Hematoxylin and eosin stain; ×20; 16 tiles from the same stomach biopsy slide.
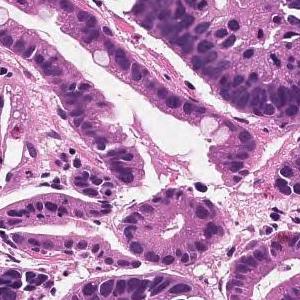
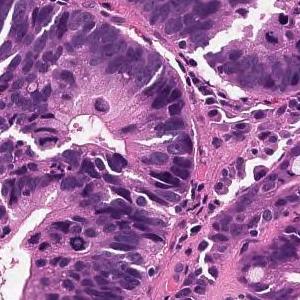
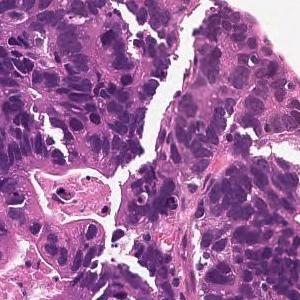
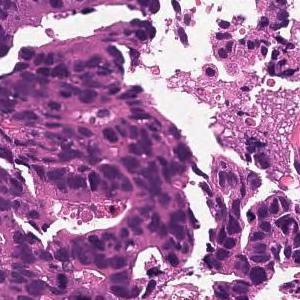
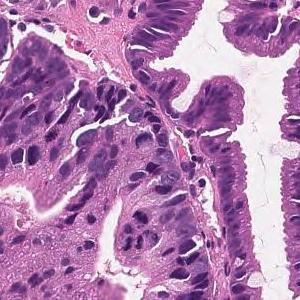
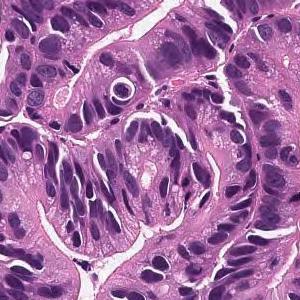
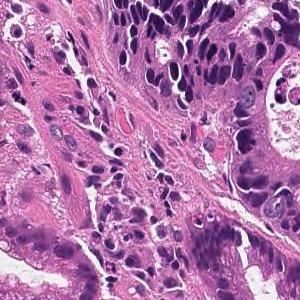
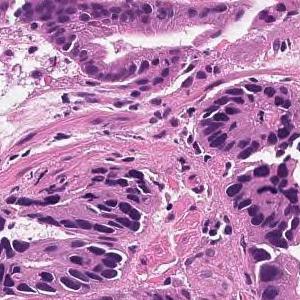
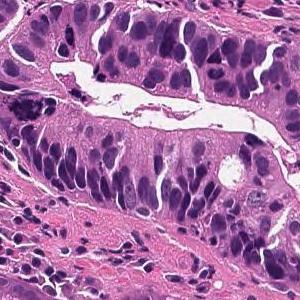
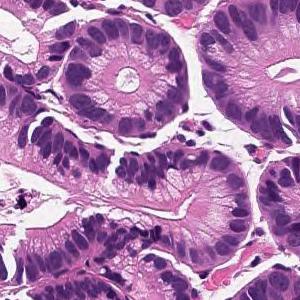
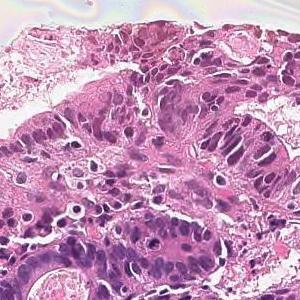
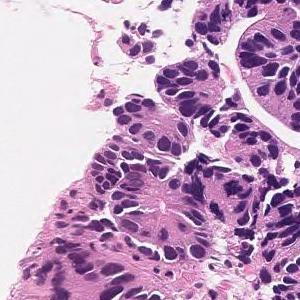
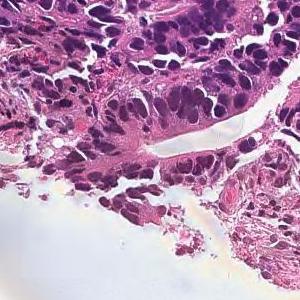
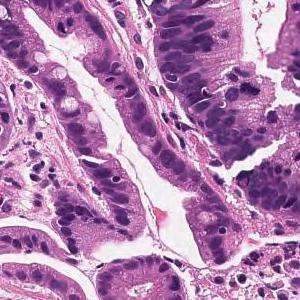
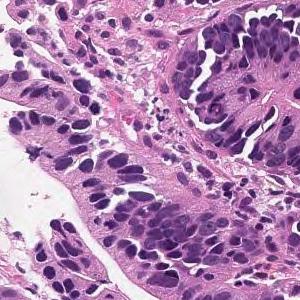
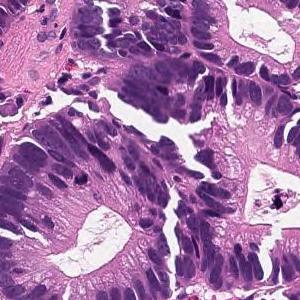
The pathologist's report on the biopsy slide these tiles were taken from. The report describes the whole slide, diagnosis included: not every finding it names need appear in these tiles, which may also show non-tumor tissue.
Tumor cells are large, highly columnar, large club-shaped nuclei, and are associated with chromatin aggregation. Papillary adenocarcinoma.
